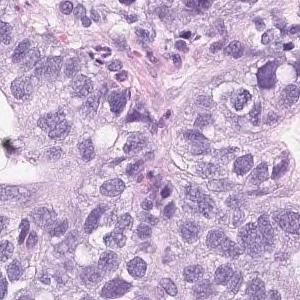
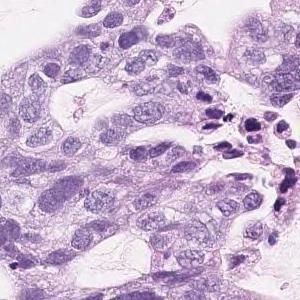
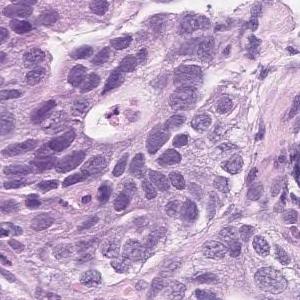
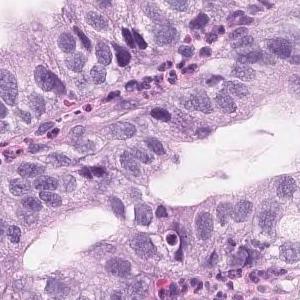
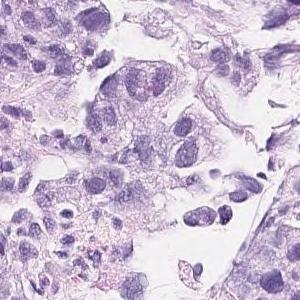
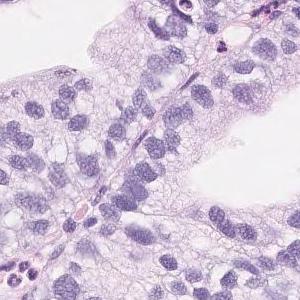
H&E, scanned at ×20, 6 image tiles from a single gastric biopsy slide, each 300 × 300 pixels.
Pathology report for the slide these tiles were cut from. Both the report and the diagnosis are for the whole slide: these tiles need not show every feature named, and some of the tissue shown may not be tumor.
On the superficial epithelium, tumor tissue consisting of large, irregular glandular ducts partially fused and infiltrated is observed. Well to moderately differentiated tubular adenocarcinoma (well differentiated tubular adenocarcinoma, moderately differentiated tubular adenocarcinoma)
Subtype: Well to moderately differentiated tubular adenocarcinoma.
